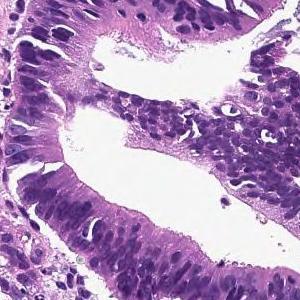
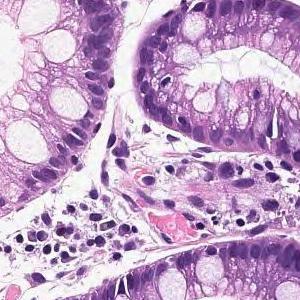
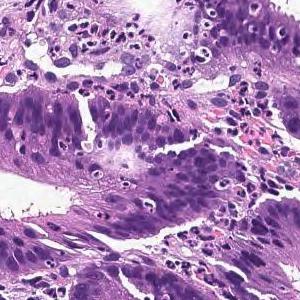
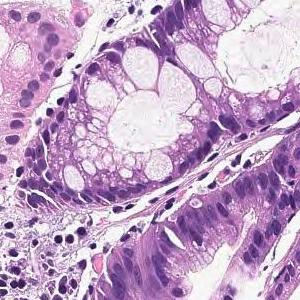
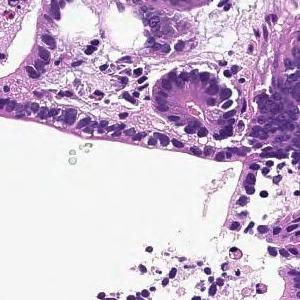
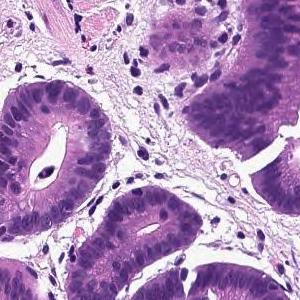
H&E; 20× magnification; 6 image tiles from a single gastric biopsy slide; 300 × 300 pixels each.
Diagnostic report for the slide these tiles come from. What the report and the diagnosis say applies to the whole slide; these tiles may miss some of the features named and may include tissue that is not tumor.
Infiltrating tumor tissue is observed in the superficial epithelium, showing large papillary structures or large and small ducts. Papillary adenocarcinoma
